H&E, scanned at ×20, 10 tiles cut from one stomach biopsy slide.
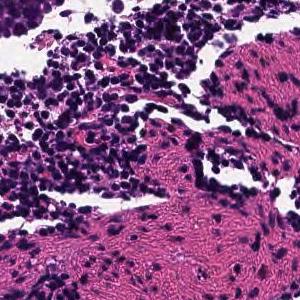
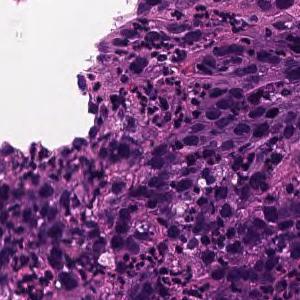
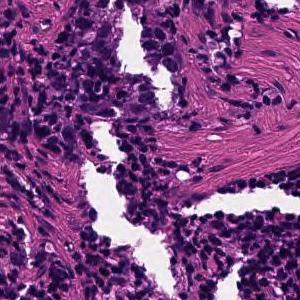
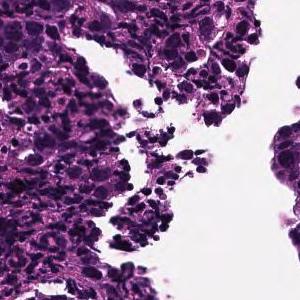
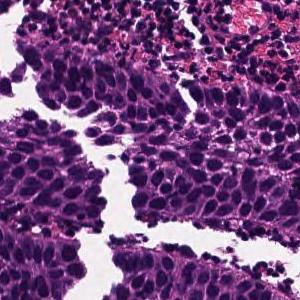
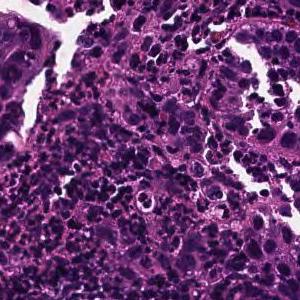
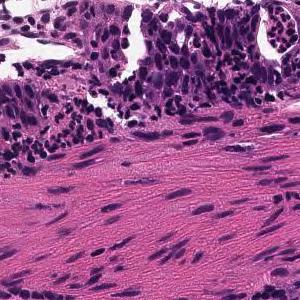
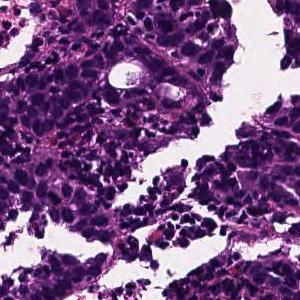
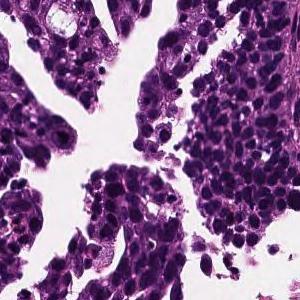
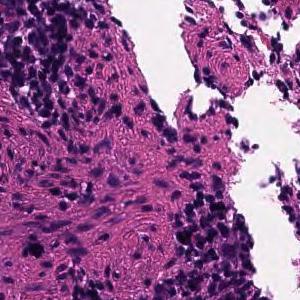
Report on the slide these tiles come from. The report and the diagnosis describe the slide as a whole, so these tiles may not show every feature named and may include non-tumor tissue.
Tumor tissue consisting of cord-like or small, irregular glandular ducts fused and infiltrated is observed in the superficial epithelium. Poorly differentiated adenocarcinoma, non-solid type
The term "non-solid type" comes from the Japanese Classification of Gastric Carcinoma.
